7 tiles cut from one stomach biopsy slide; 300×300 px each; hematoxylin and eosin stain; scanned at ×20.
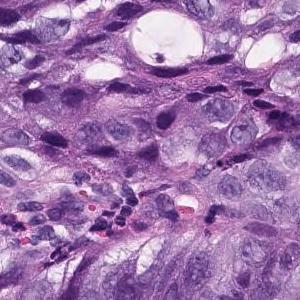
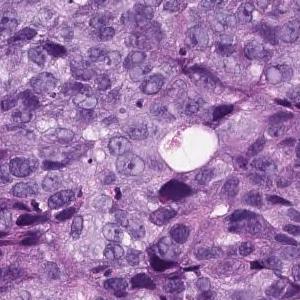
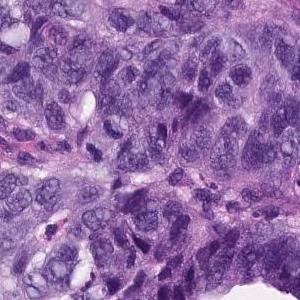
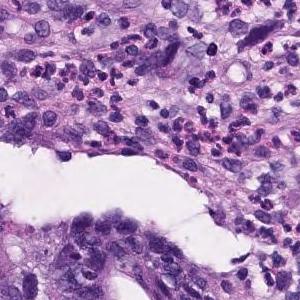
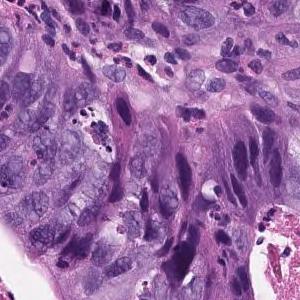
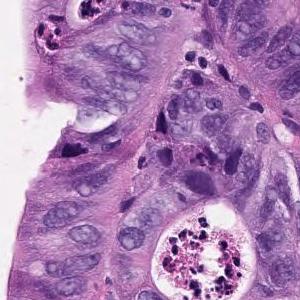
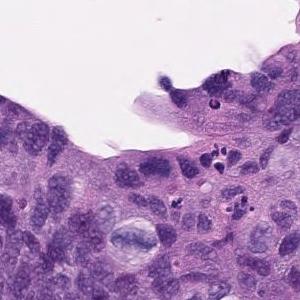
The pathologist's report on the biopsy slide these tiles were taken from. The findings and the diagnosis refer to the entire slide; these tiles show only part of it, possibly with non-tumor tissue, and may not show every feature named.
In the superficial epithelium, tumor tissue that invades by forming medium-sized to small, irregular ducts is observed. Moderately differentiated adenocarcinoma.
Histological subtype: Moderately differentiated tubular adenocarcinoma.
